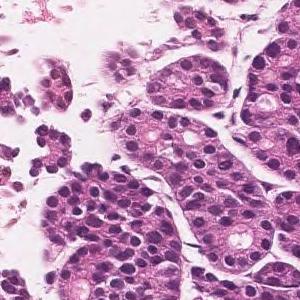
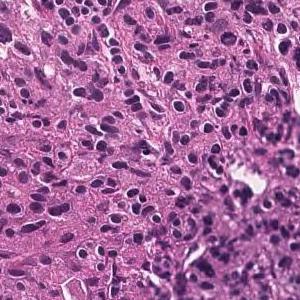
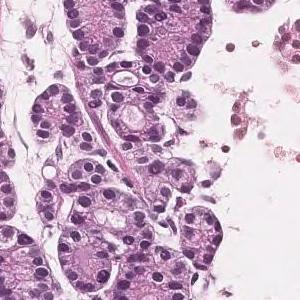
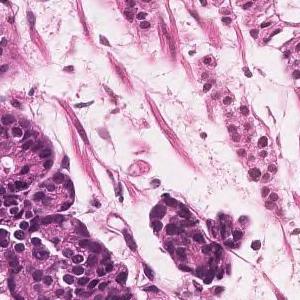
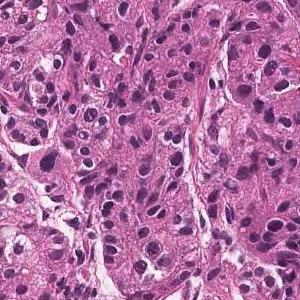
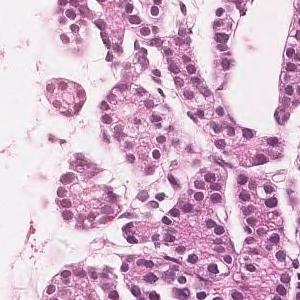
Hematoxylin and eosin stain · 6 tiles from the same stomach biopsy slide · each 300 × 300 pixels.
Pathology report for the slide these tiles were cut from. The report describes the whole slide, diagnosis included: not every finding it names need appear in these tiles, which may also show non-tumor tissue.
In the superficial epithelium, tumor tissue that invades by forming medium-sized to small, irregular ducts is observed. Moderately differentiated adenocarcinoma.
Histological subtype: Moderately differentiated tubular adenocarcinoma.
